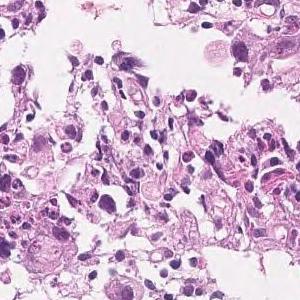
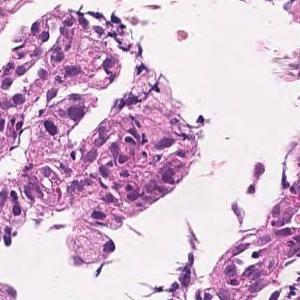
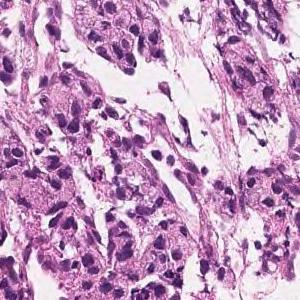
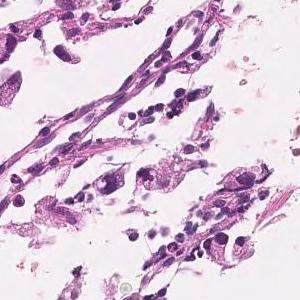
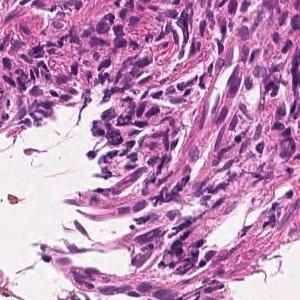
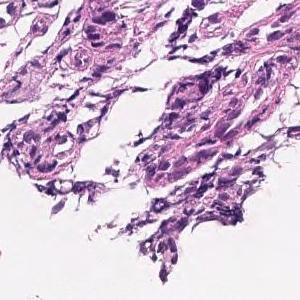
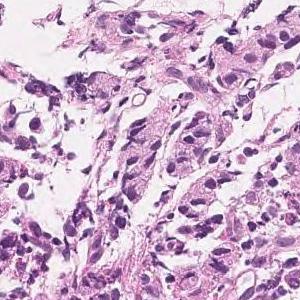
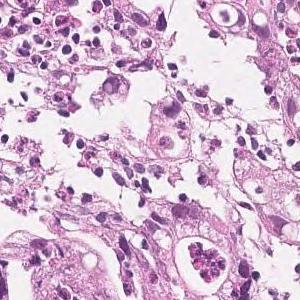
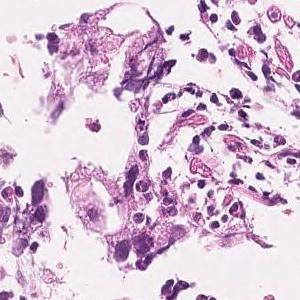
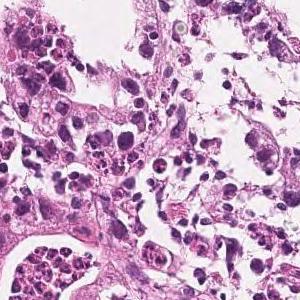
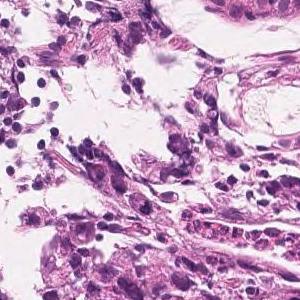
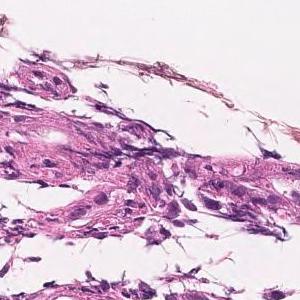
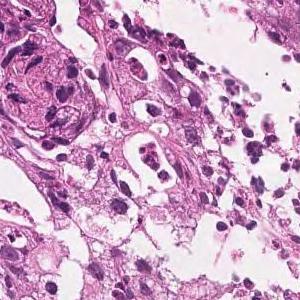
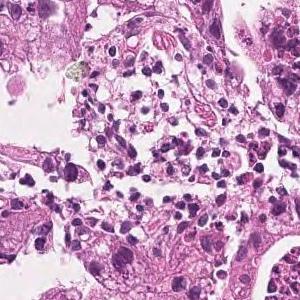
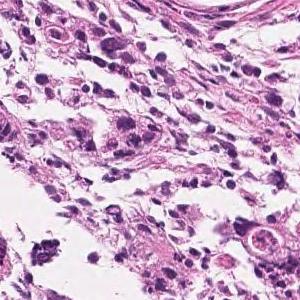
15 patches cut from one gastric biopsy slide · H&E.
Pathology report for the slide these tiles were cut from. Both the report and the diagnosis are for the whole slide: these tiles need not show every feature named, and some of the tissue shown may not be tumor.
In the superficial epithelium, medium to small, irregular glandular ducts are formed, and in some parts, the glandular ducts are fused, and in other parts, small cord-like infiltrating tumor tissue is observed. Moderately to poorly differentiated adenocarcinoma.
